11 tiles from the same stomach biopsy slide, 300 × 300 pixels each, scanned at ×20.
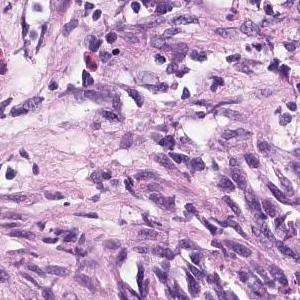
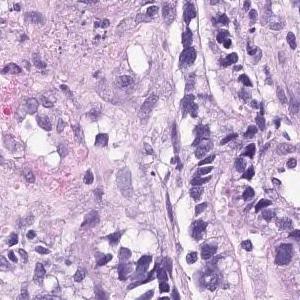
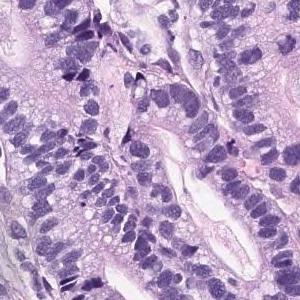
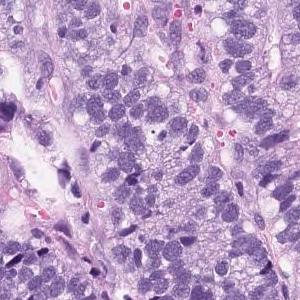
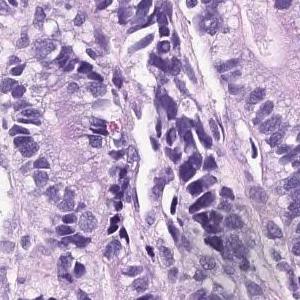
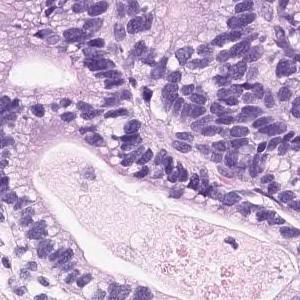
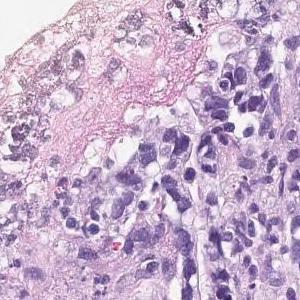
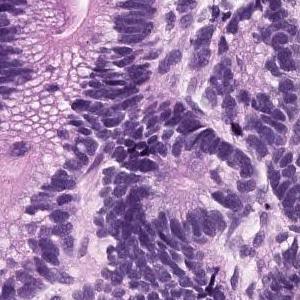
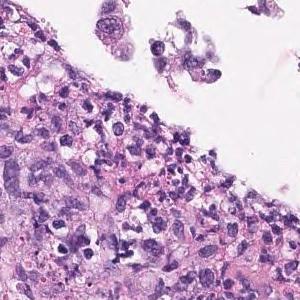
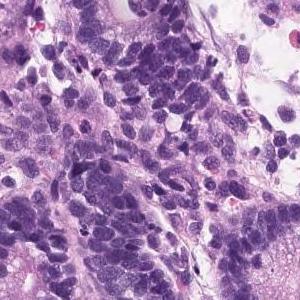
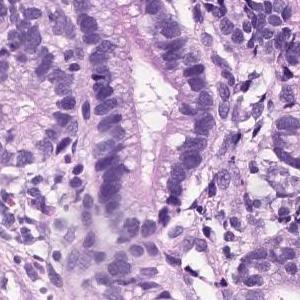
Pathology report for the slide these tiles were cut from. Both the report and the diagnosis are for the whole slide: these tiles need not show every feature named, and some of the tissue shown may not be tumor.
Hyperplasia of atypical epithelial cells with swelling of the nucleus is observed. Moderately diffentiated tubular adenocarcinoma
Subtype: Moderately differentiated tubular adenocarcinoma.
